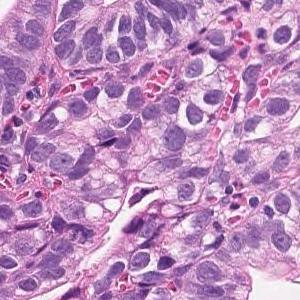
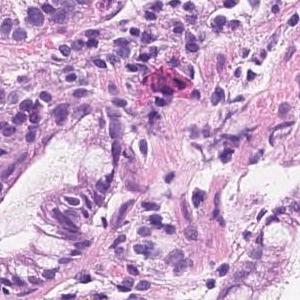
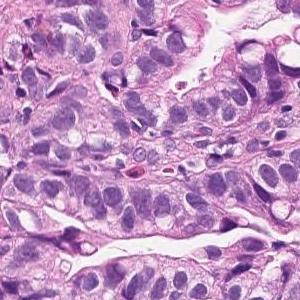
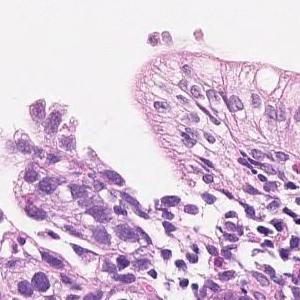
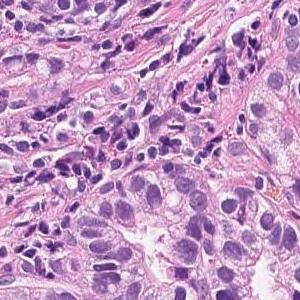
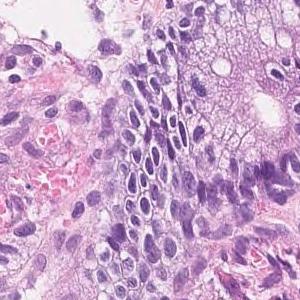
Hematoxylin and eosin stain · 20× magnification · 6 tiles from the same stomach biopsy slide.
The pathologist's report on the biopsy slide these tiles were taken from. The report describes the whole slide, diagnosis included: not every finding it names need appear in these tiles, which may also show non-tumor tissue.
On the superficial epithelium, there is a tumor tissue consisting of medium to small, irregular tubules that are partially fused and proliferated. Well to moderately differentiated tubular adenocarcinoma
